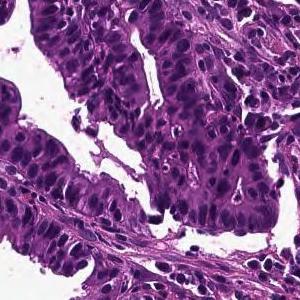
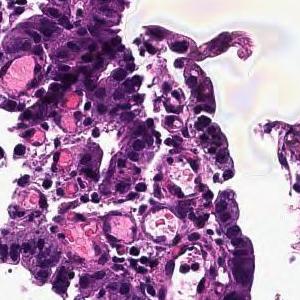
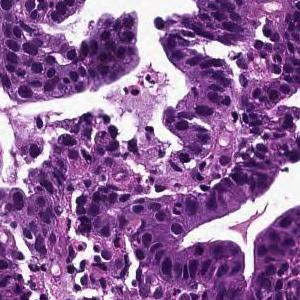
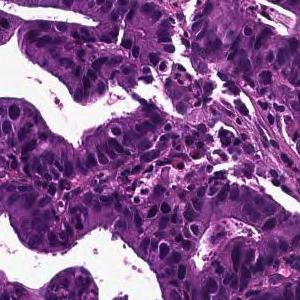
4 tiles cut from one stomach biopsy slide; 300 × 300 pixels each; H&E; ×20.
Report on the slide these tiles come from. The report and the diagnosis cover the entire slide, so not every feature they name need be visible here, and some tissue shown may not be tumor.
Tumor cells are large, highly columnar, large club-shaped nuclei, and are associated with chromatin aggregation. Papillary adenocarcinoma.
